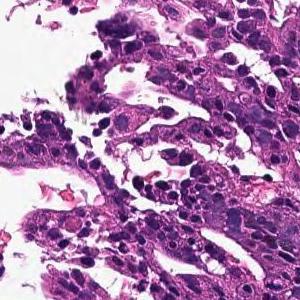
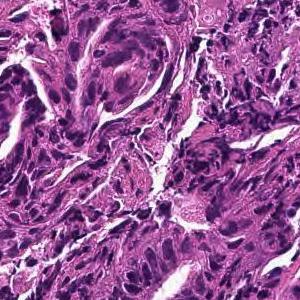
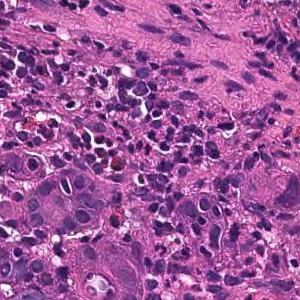
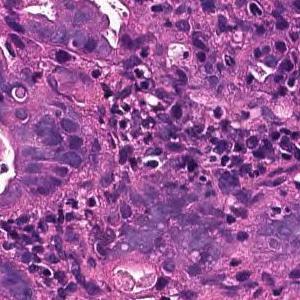
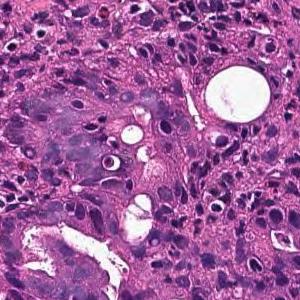
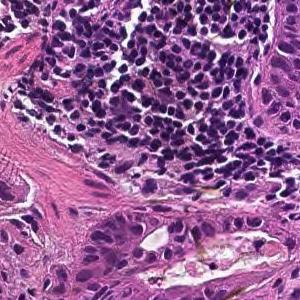
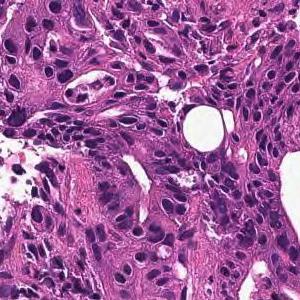
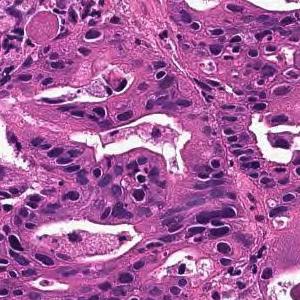
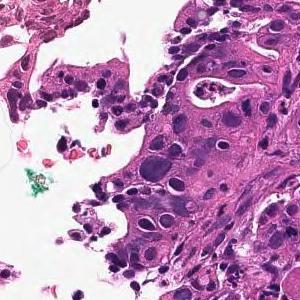
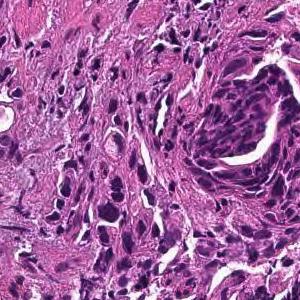
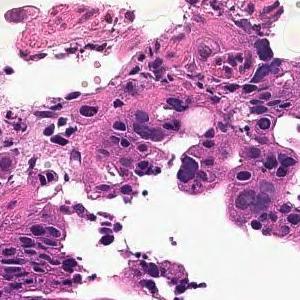
Hematoxylin and eosin stain; 20× magnification; 11 tiles cut from one stomach biopsy slide.
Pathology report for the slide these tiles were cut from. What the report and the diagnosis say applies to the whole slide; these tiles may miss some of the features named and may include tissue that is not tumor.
In the superficial epithelium, tumor tissue that invades by forming medium-sized to small, irregular ducts is observed. moderately differentiated tubular adenocarcinoma.
